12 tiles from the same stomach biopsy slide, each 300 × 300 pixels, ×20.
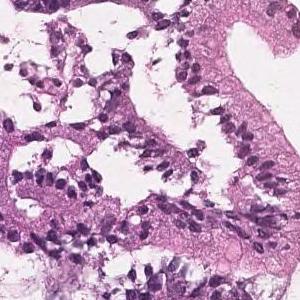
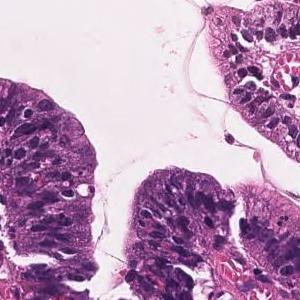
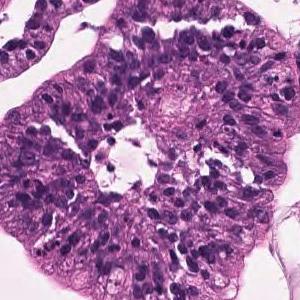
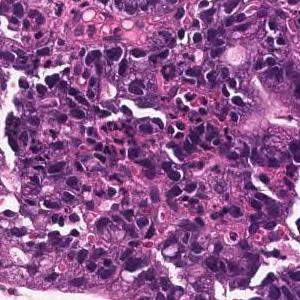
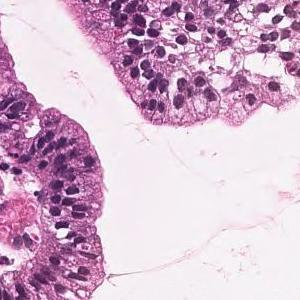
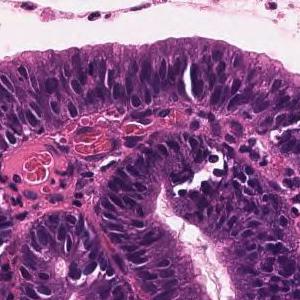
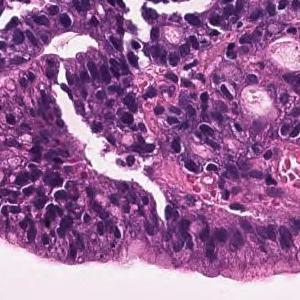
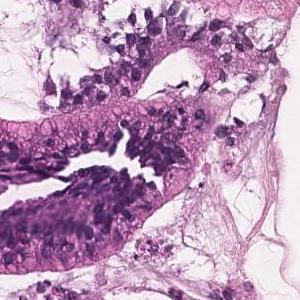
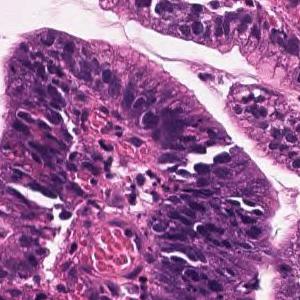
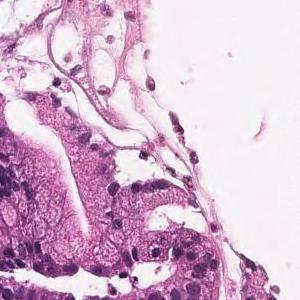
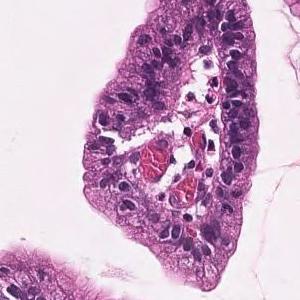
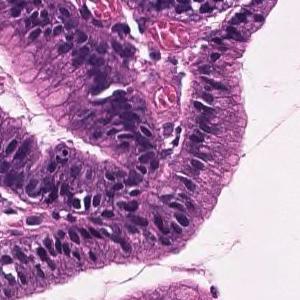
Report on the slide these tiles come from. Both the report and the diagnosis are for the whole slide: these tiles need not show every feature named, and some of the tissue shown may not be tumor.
On the superficial epithelium, tumor tissue that infiltrates by forming medium-sized papillary or small irregular ducts is observed. Papillary adenocarcinoma
